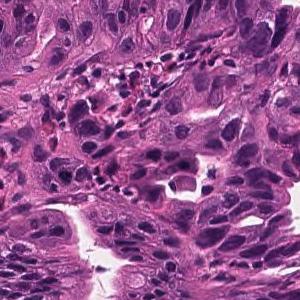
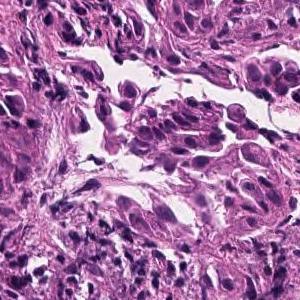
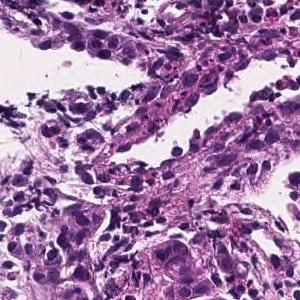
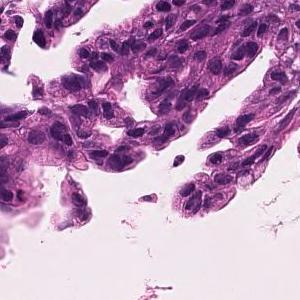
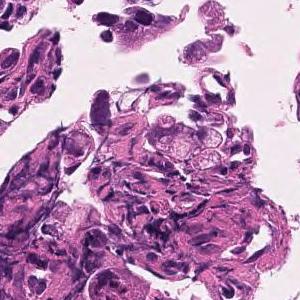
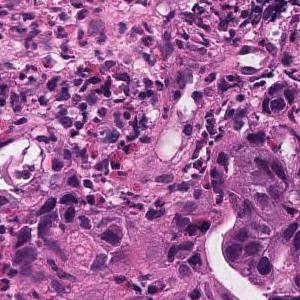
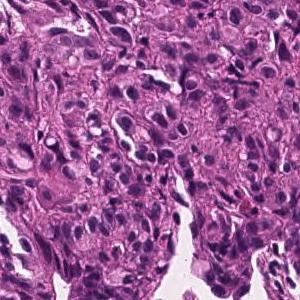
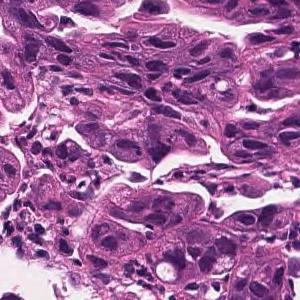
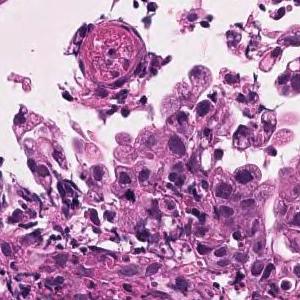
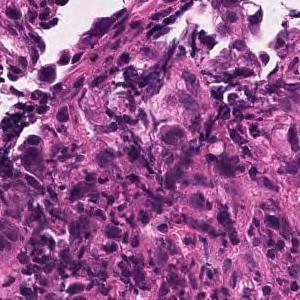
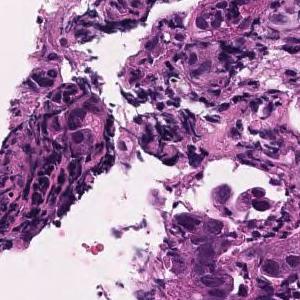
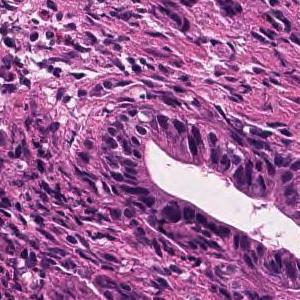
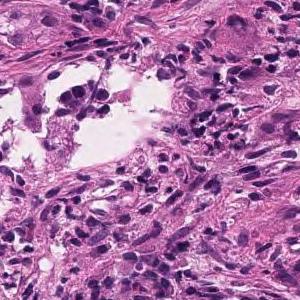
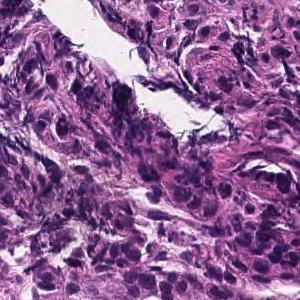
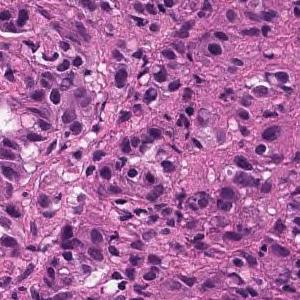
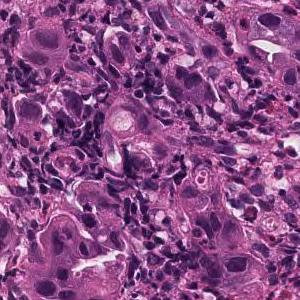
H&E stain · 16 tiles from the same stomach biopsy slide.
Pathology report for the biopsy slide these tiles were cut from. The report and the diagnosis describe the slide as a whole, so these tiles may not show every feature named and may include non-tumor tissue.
Tumor tissue consisting of medium-sized, cord-like or irregular glandular infiltration is observed in the superficial epithelium. Poorly differentiated adenocarcinoma, non-solid type or moderately differentiated tubular adenocarcinoma
The non-solid type named here is a Japanese Classification of Gastric Carcinoma category.
